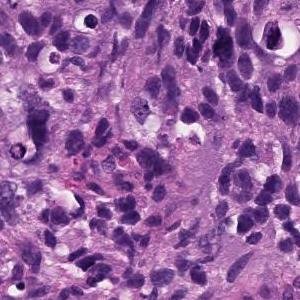
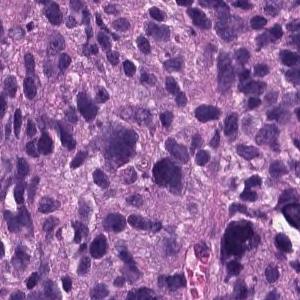
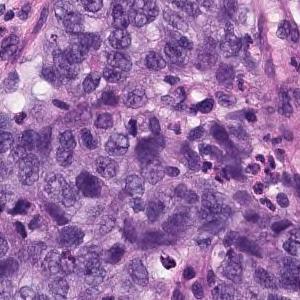
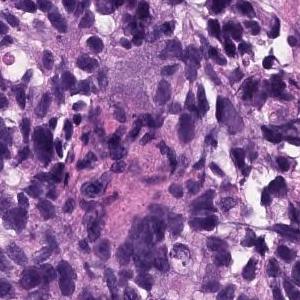
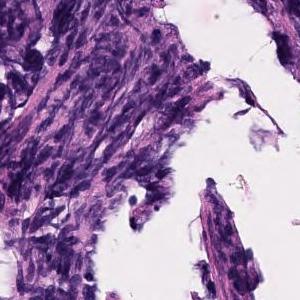
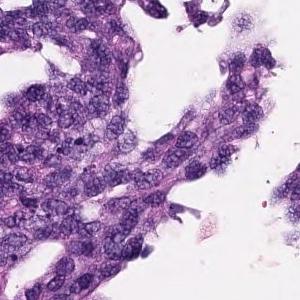
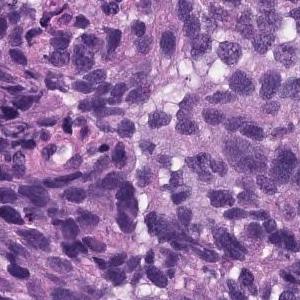
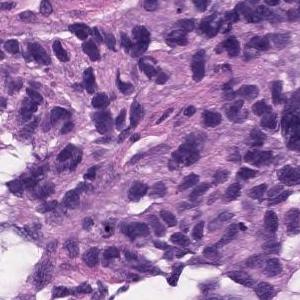
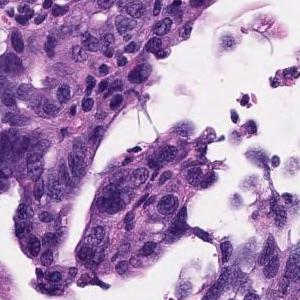
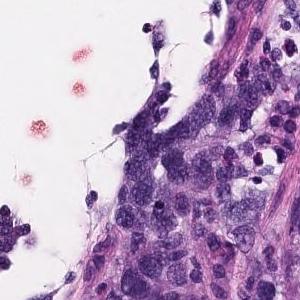
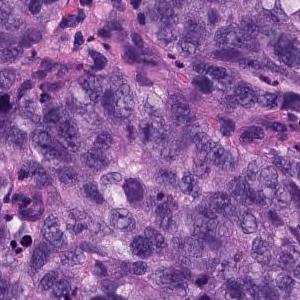
Hematoxylin and eosin stain, scanned at ×20, 11 patches cut from one gastric biopsy slide.
The pathologist's report on the biopsy slide these tiles were taken from. The report and the diagnosis cover the entire slide, so not every feature they name need be visible here, and some tissue shown may not be tumor.
Atypical l cells with atypical nuclei under the mucosa growing in isolation and scattered. Poorly differentiated adenocarcinoma (poorly differentiated adenocarcinoma, non-solid type)
Tumor subtype: poorly differentiated adenocarcinoma, non-solid type.
The term "non-solid type" comes from the Japanese Classification of Gastric Carcinoma.
